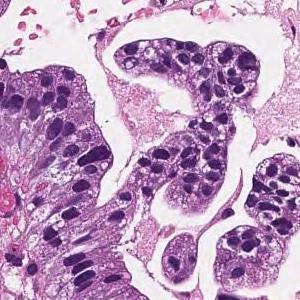
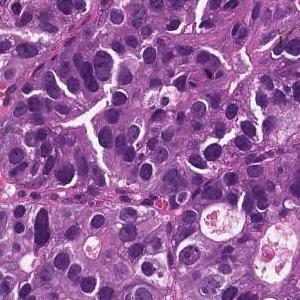
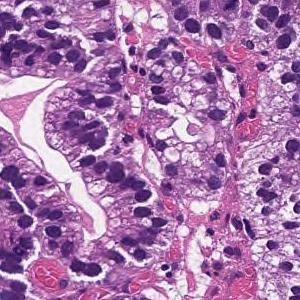
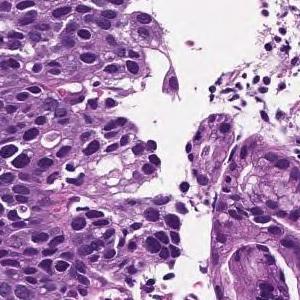
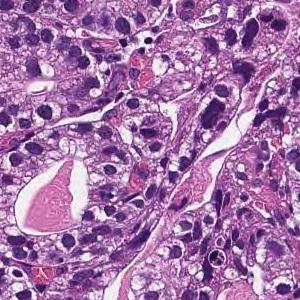
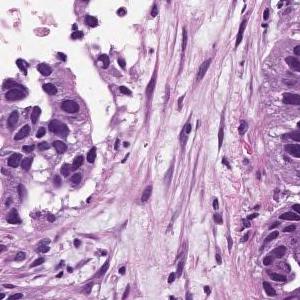
6 patches cut from one gastric biopsy slide, H&E stain.
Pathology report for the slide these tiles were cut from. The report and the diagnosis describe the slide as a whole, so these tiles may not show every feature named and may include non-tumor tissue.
On the superficial epithelium, tumor tissue consisting of large, irregular glandular ducts partially fused and infiltrated is observed. Well to moderately differentiated tubular adenocarcinoma (well differentiated tubular adenocarcinoma, moderately differentiated tubular adenocarcinoma)
Classified as well to moderately differentiated tubular adenocarcinoma.
